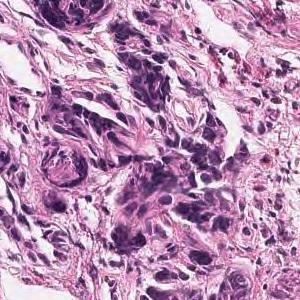
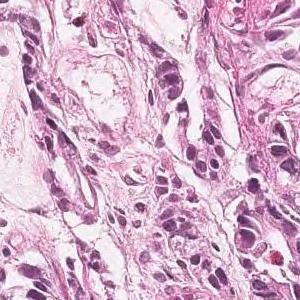
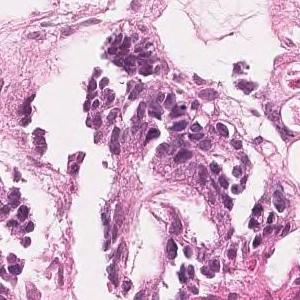
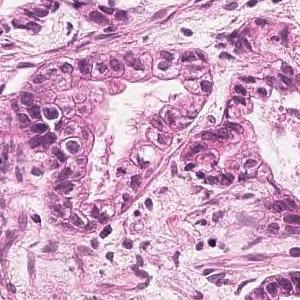
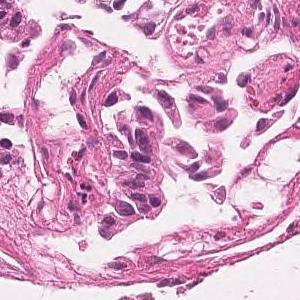
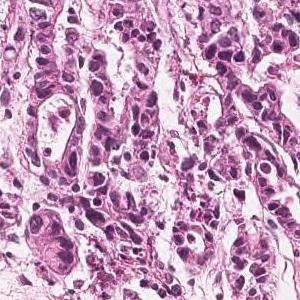
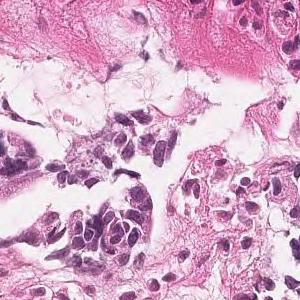
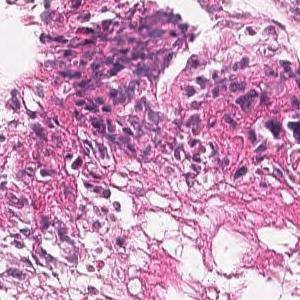
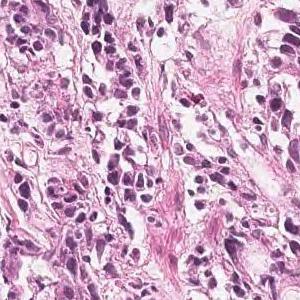
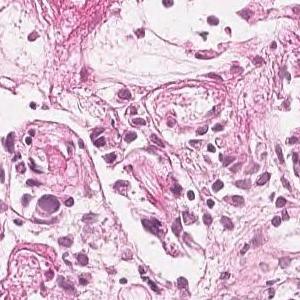
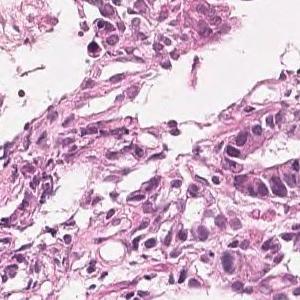
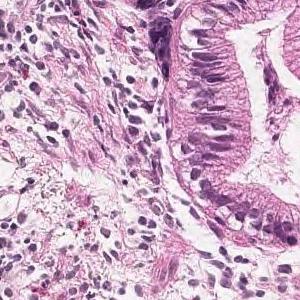
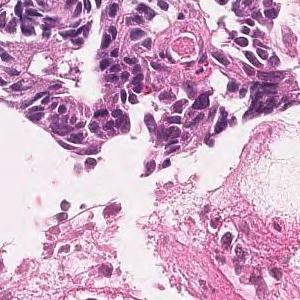
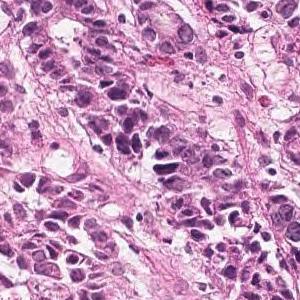
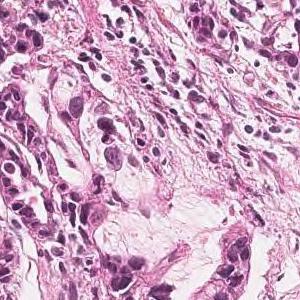
15 image tiles from a single gastric biopsy slide; H&E stain.
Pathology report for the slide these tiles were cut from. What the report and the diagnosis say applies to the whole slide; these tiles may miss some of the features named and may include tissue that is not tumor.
On the superficial epithelium, tumor tissue consisting of large, irregular glandular ducts partially fused and infiltrated is observed. Well to moderately differentiated tubular adenocarcinoma (well differentiated tubular adenocarcinoma, moderately differentiated tubular adenocarcinoma)
Histological subtype: Well to moderately differentiated tubular adenocarcinoma.
